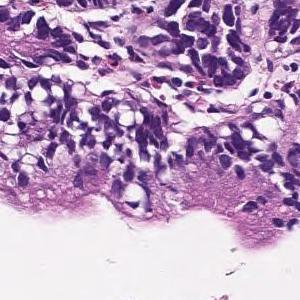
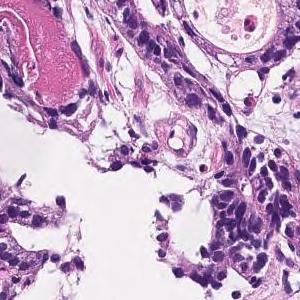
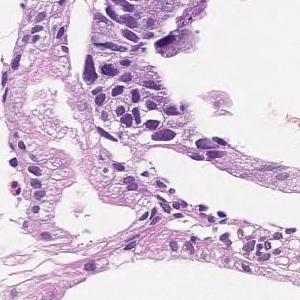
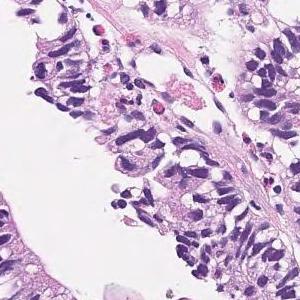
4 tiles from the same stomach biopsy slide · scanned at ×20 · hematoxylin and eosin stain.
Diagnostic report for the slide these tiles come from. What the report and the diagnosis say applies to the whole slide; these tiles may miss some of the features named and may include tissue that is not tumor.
In the superficial epithelium, tumor tissue that invades by forming medium-sized to small, irregular ducts is observed. Moderately differentiated adenocarcinoma.
Classified as moderately differentiated tubular adenocarcinoma.
